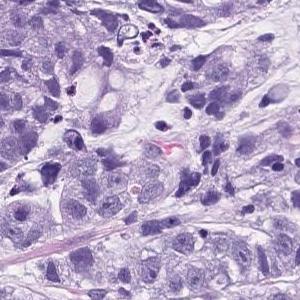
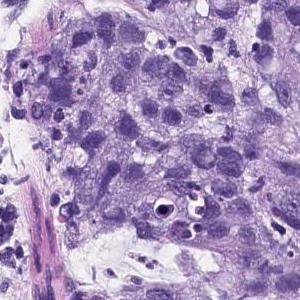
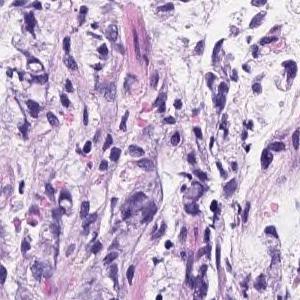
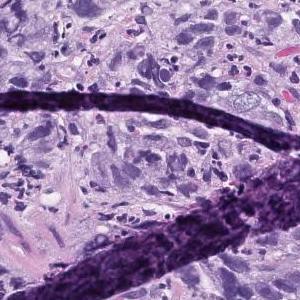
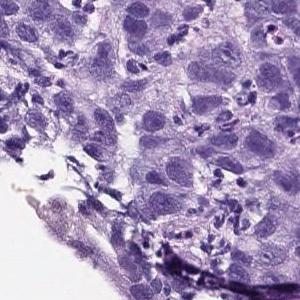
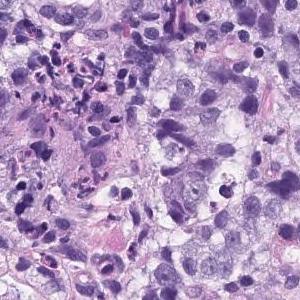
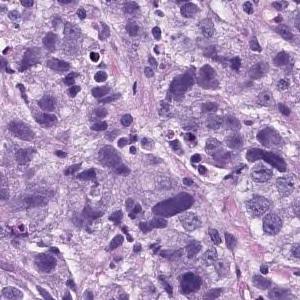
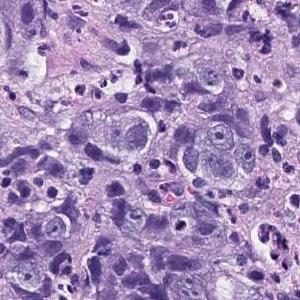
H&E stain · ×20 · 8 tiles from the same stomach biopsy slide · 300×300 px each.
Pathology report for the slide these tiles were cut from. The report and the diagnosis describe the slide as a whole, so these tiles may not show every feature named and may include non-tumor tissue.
Atypical l cells with atypical nuclei forming solid vesicles or small irregular atypical ducts that proliferate in a complex manner. poorly differentiated adenocarcinoma, solid type, moderately differentiated tubular adenocarcinoma
The solid type named here is a Japanese Classification of Gastric Carcinoma category; WHO 2019 calls it tubular adenocarcinoma, poorly differentiated.
